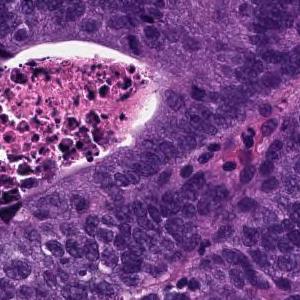
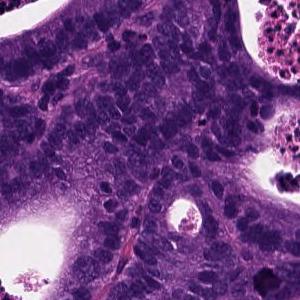
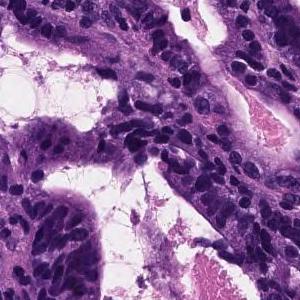
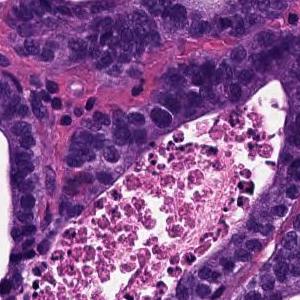
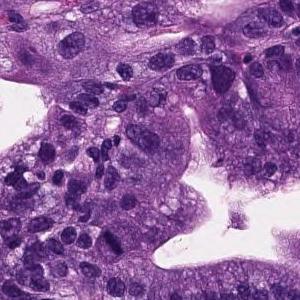
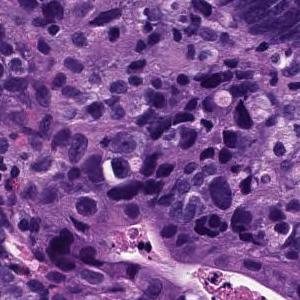
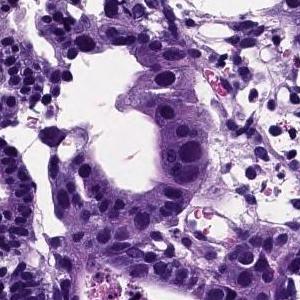
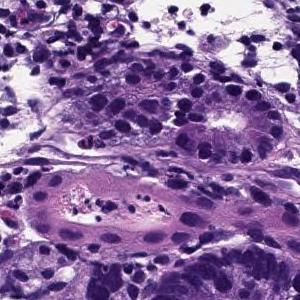
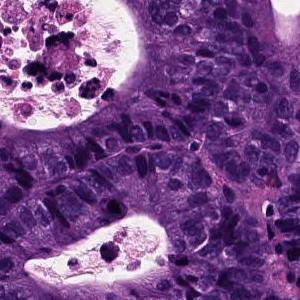
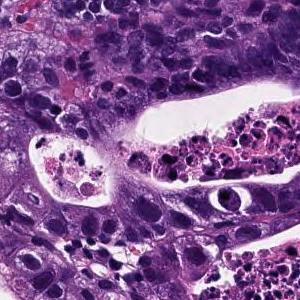
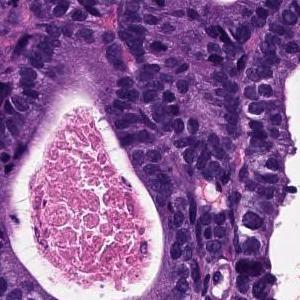
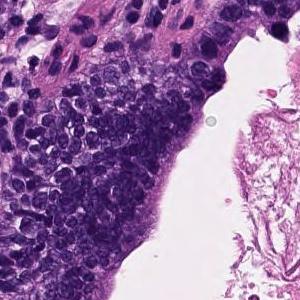
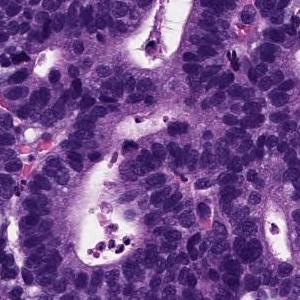
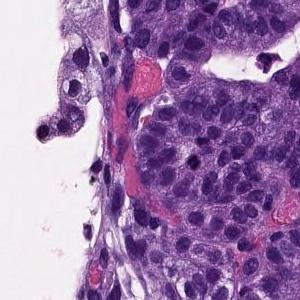
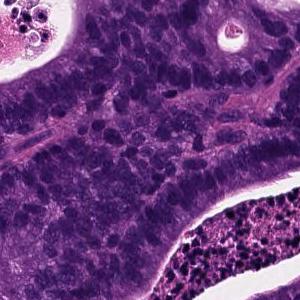
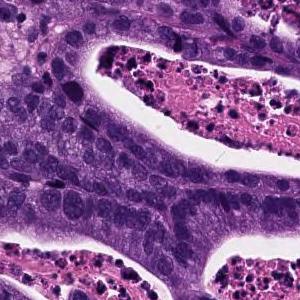
H&E; 20× magnification; 16 tiles from the same stomach biopsy slide.
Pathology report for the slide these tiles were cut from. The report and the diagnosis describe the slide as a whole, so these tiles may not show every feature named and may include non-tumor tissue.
From the superficial epithelium to the muscularis mucosae, tumor tissue consisting of medium-sized and irregular glandular ducts infiltrating is observed. Well differentiated tubular adenocarcinoma
